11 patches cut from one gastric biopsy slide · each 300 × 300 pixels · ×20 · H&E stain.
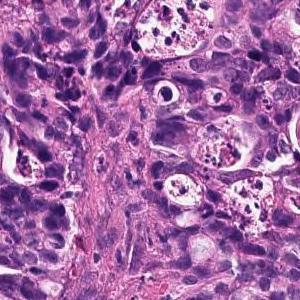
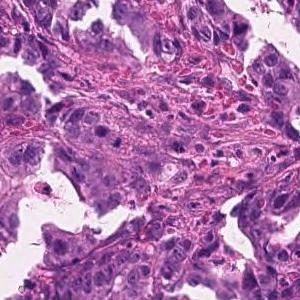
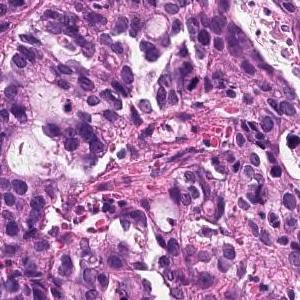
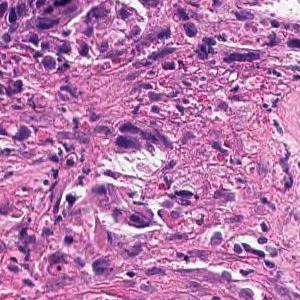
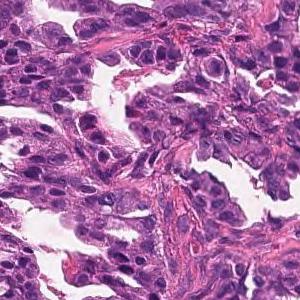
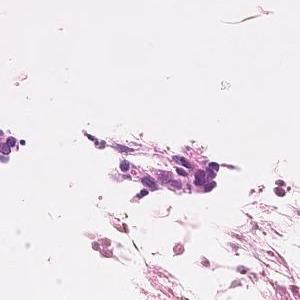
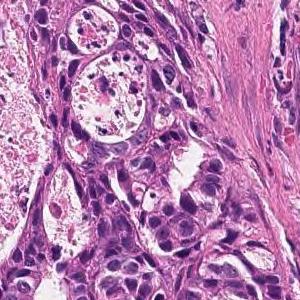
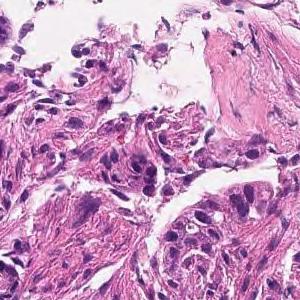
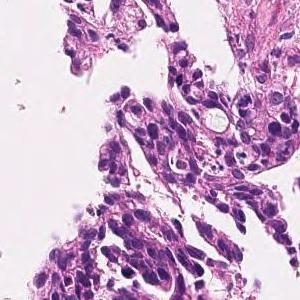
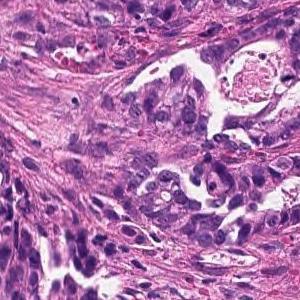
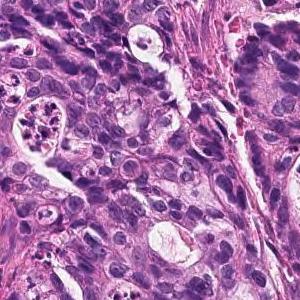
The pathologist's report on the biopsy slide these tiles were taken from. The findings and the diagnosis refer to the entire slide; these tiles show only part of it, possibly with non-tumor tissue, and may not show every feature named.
On the superficial epithelium, tumor tissue consisting of images of small to medium-sized and irregular tubules infiltrating with irregular fusion is observed. moderately differentiated tubular adenocarcinoma
